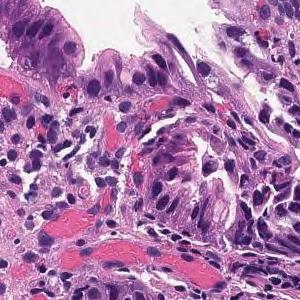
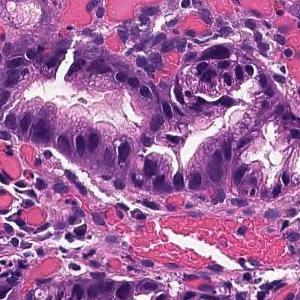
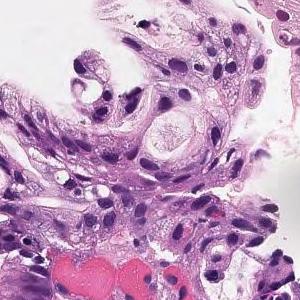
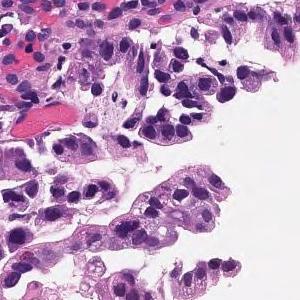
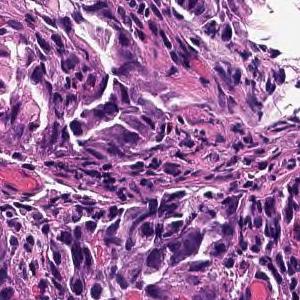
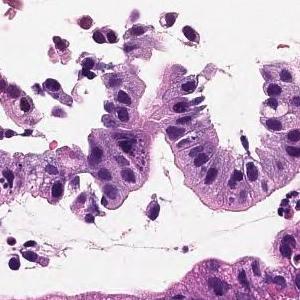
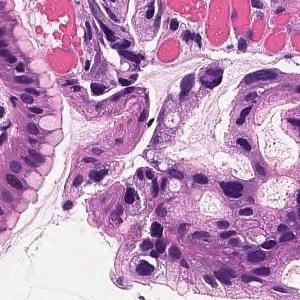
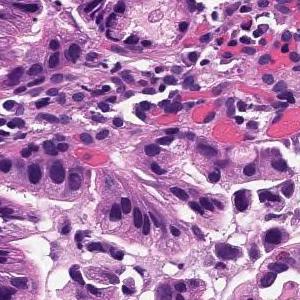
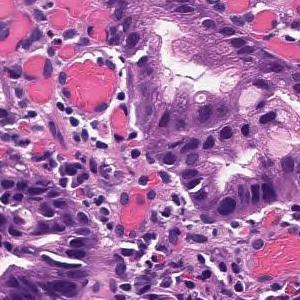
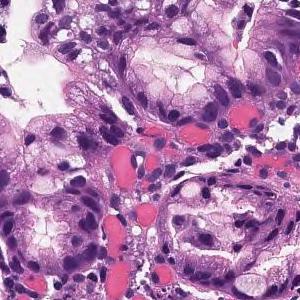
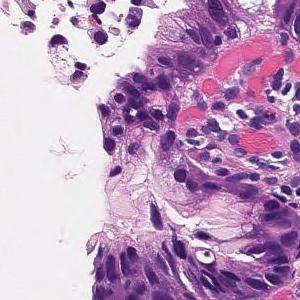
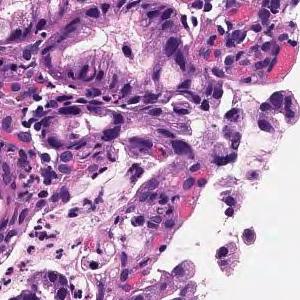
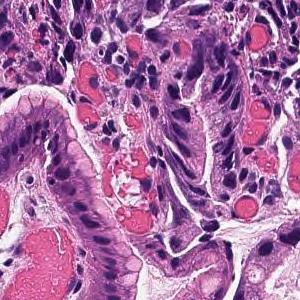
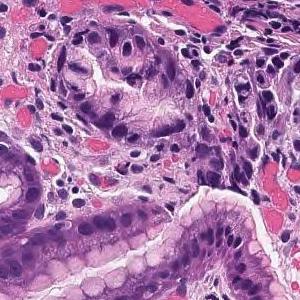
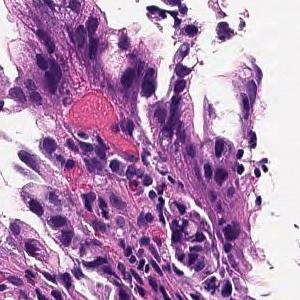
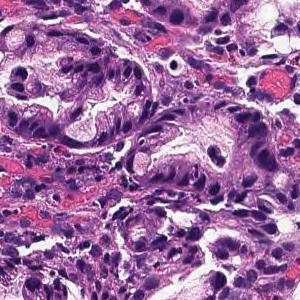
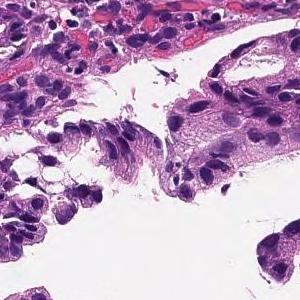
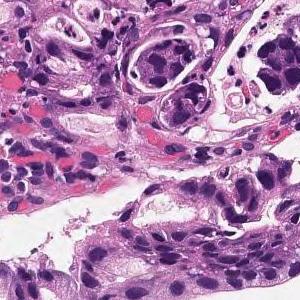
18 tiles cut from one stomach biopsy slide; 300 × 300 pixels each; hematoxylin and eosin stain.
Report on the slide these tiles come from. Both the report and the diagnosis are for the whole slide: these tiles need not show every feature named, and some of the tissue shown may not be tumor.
In the superficial epithelium, tumor tissue that invades by forming medium-sized to small, irregular ducts is observed. moderately differentiated tubular adenocarcinoma.
